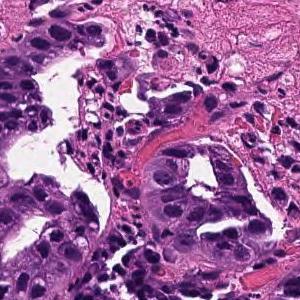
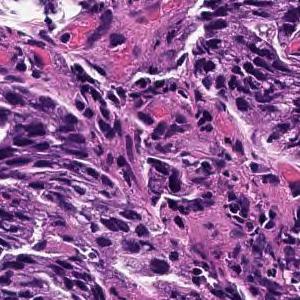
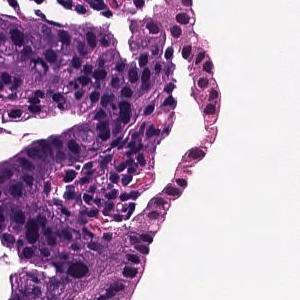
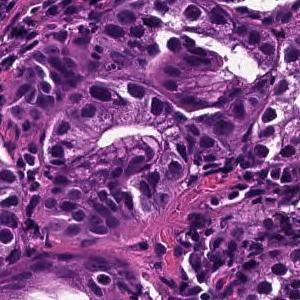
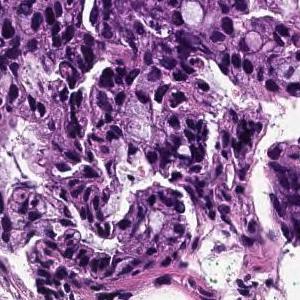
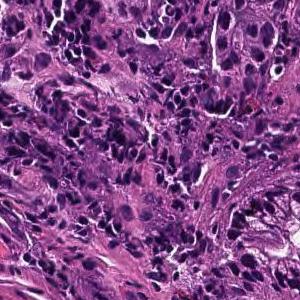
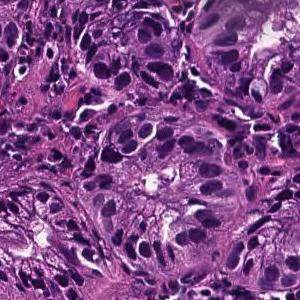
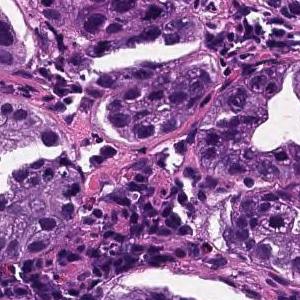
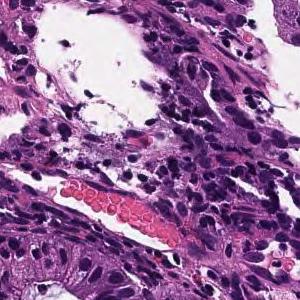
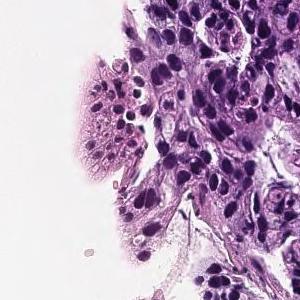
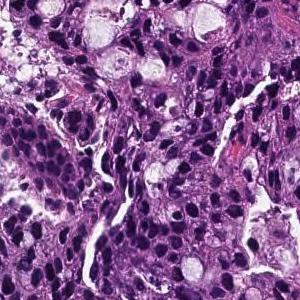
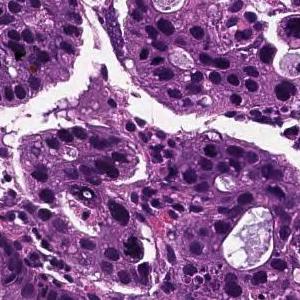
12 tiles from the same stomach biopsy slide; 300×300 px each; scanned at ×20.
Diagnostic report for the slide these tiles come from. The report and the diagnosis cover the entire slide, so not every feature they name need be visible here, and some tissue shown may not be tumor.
In the superficial epithelium, tumor tissue that invades by forming medium-sized to small, irregular ducts is observed. moderately differentiated tubular adenocarcinoma.
